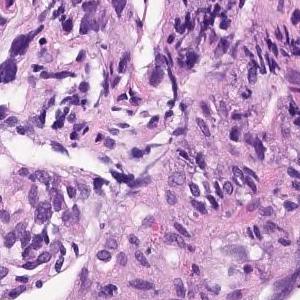
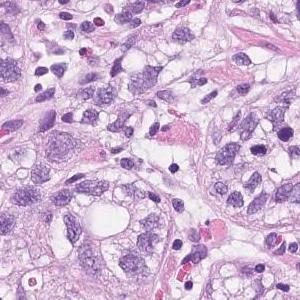
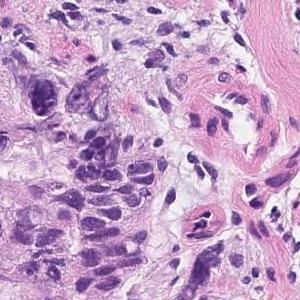
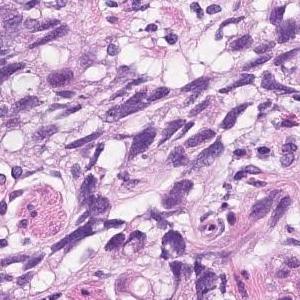
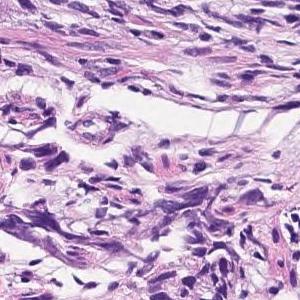
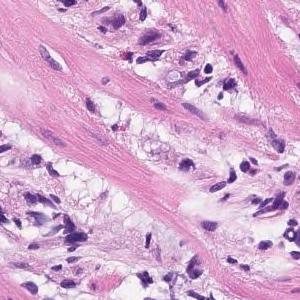
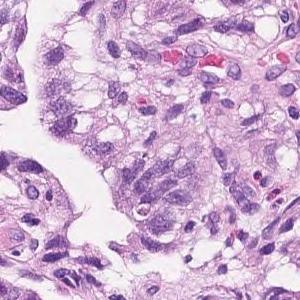
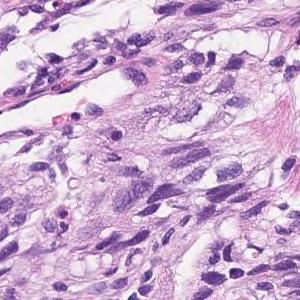
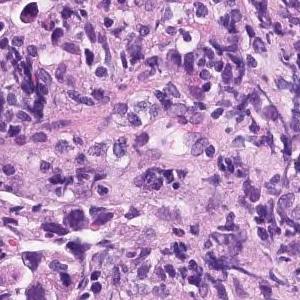
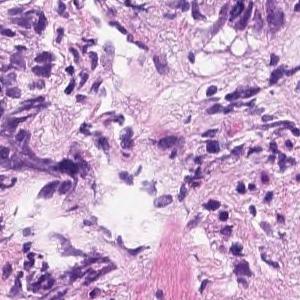
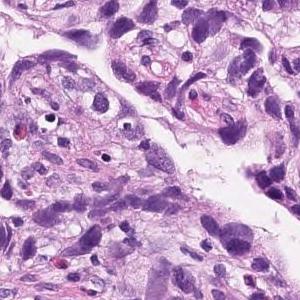
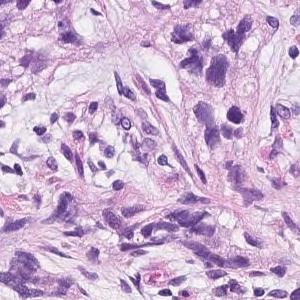
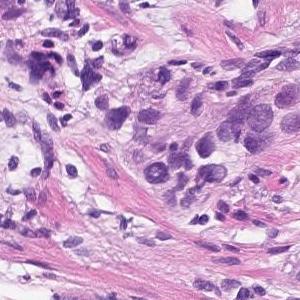
13 tiles from the same stomach biopsy slide, 300×300 px each, H&E, 20× magnification.
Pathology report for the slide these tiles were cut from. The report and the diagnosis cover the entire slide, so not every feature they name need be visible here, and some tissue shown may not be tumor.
In the superficial epithelium, tumor tissue that invades by forming medium-sized to small, irregular ducts is observed. Moderately differentiated adenocarcinoma.
Tumor subtype: moderately differentiated tubular adenocarcinoma.
